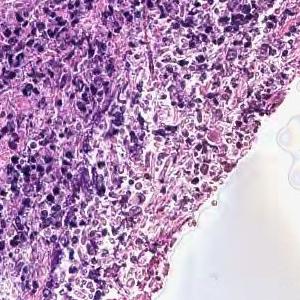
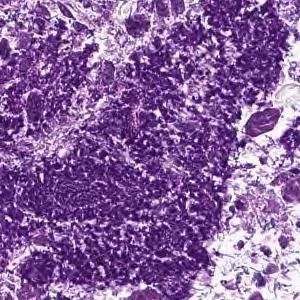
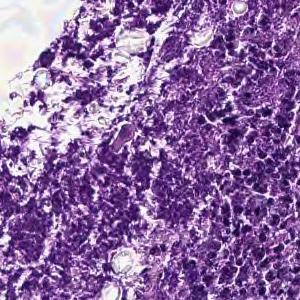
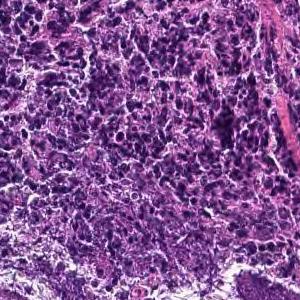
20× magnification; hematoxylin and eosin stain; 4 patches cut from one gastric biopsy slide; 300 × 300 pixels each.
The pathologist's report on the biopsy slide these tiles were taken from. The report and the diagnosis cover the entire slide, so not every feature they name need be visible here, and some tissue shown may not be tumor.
Cancers with polygonal nuclei do not show glandular formation and are densely, in part, cord-like and proliferate. Poorly differentiated adenocarcinoma
Tumor subtype: poorly differentiated adenocarcinoma, non-solid type.
The non-solid type named here is a Japanese Classification of Gastric Carcinoma category.
